Hematoxylin and eosin stain, 4 patches cut from one gastric biopsy slide, each 300 × 300 pixels.
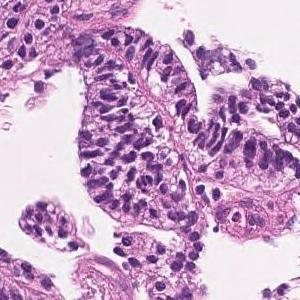
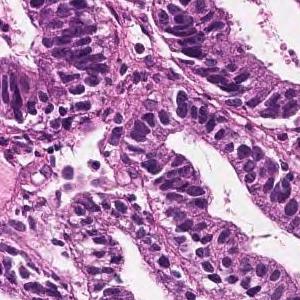
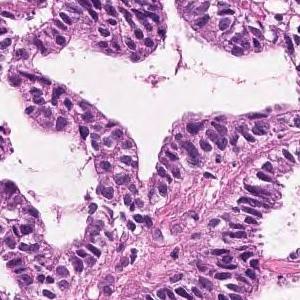
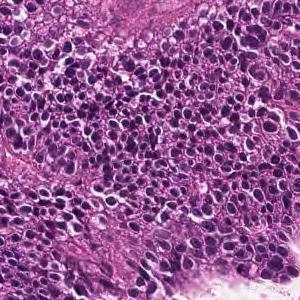
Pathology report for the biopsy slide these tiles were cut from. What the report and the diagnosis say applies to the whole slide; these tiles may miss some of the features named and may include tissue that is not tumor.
Tumor cells are large, highly columnar, large club-shaped nuclei, and are associated with chromatin aggregation. Papillary adenocarcinoma.
